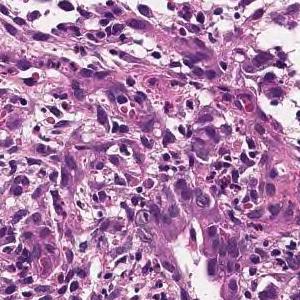
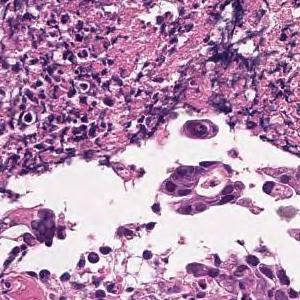
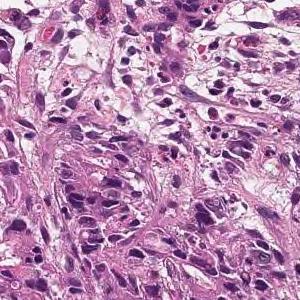
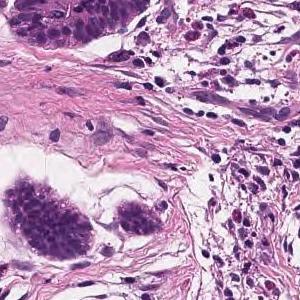
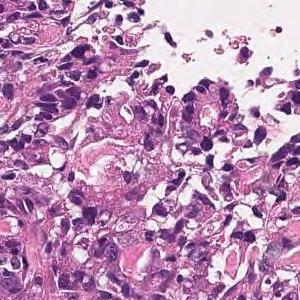
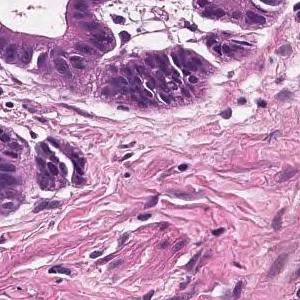
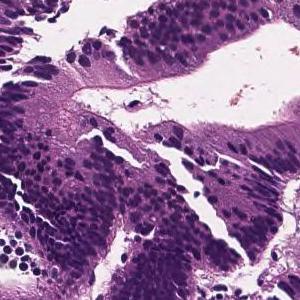
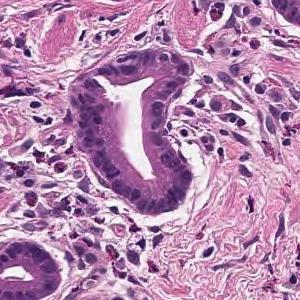
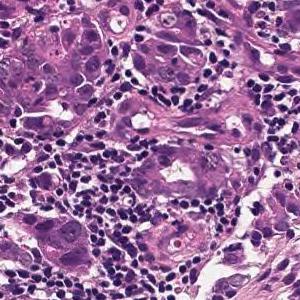
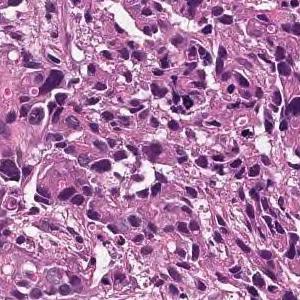
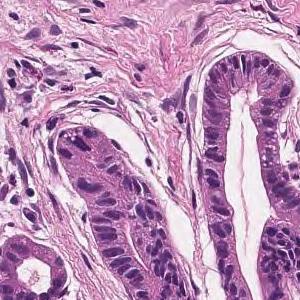
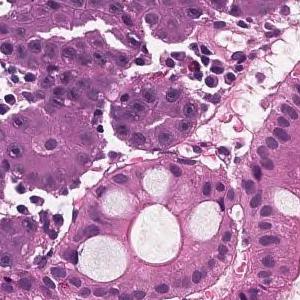
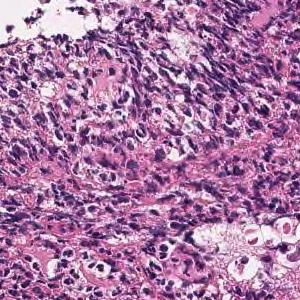
13 tiles from the same stomach biopsy slide, 300×300 px each, 20× magnification, H&E stain.
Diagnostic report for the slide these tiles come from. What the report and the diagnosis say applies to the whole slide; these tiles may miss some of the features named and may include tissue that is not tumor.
Tumor tissue consisting of cord-like or small, irregular glandular ducts fused and infiltrated is observed in the superficial epithelium. Poorly differentiated adenocarcinoma, non-solid type
The term "non-solid type" comes from the Japanese Classification of Gastric Carcinoma.
